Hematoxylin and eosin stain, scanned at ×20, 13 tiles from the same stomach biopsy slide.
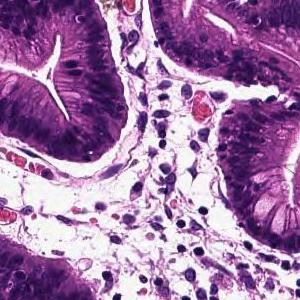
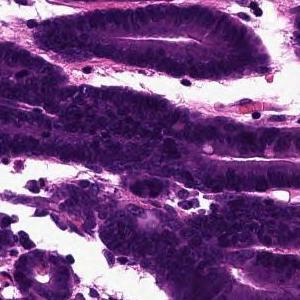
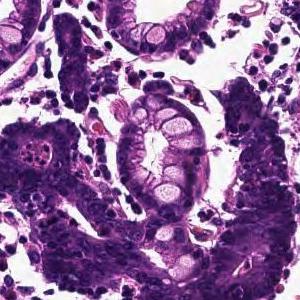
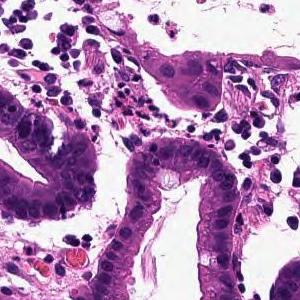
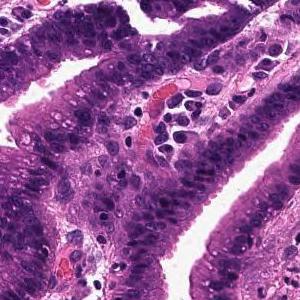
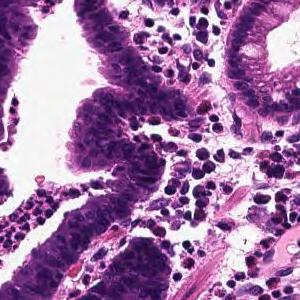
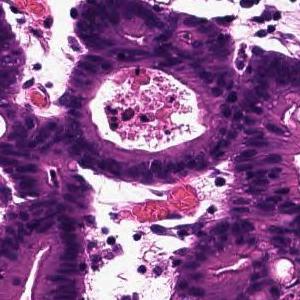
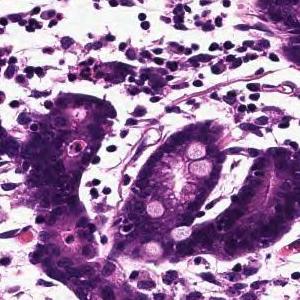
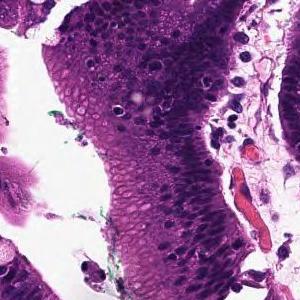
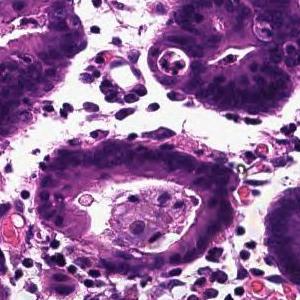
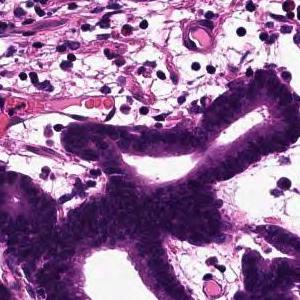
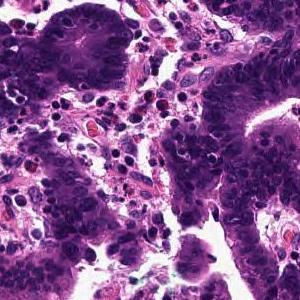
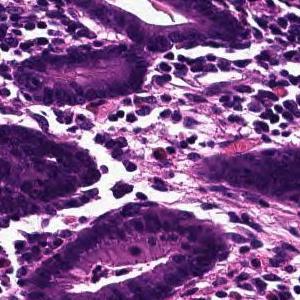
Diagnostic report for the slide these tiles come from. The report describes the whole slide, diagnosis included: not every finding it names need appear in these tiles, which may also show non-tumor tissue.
Tumor tissue that infiltrates by forming large papillary or large irregular glandular ducts is observed confined to the mucosa. Papillary adenocarcinoma
